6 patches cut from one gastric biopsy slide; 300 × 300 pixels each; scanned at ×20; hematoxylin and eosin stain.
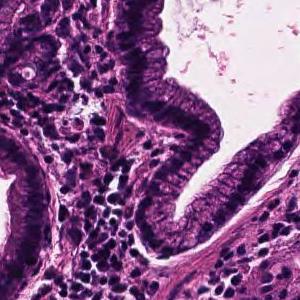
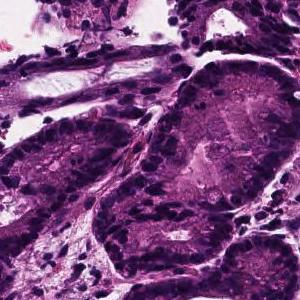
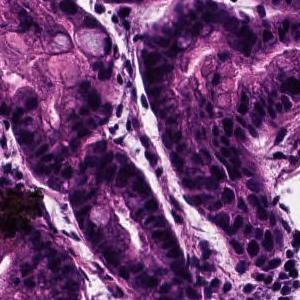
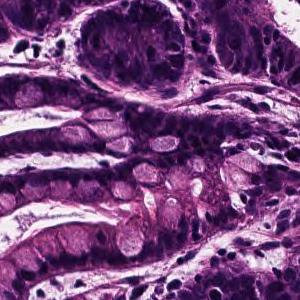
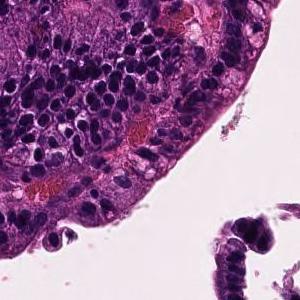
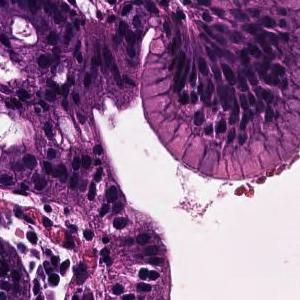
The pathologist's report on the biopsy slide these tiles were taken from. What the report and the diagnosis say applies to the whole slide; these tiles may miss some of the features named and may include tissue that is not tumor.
In the superficial epithelium, tumor tissue infiltrated by partial fusion of medium-sized to small, irregular glandular ducts is observed. moderately differentiated tubular adenocarcinoma
